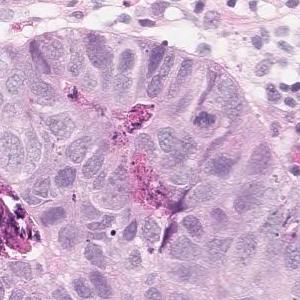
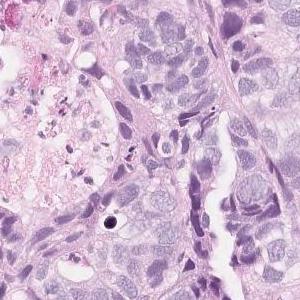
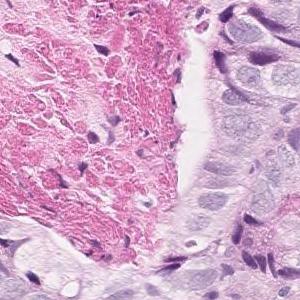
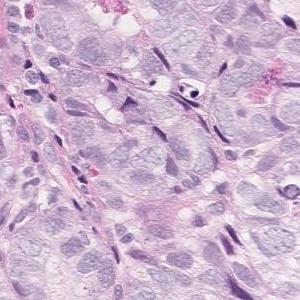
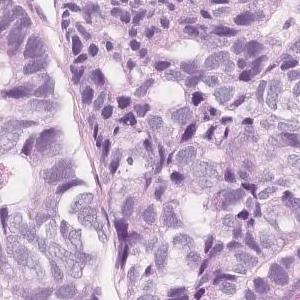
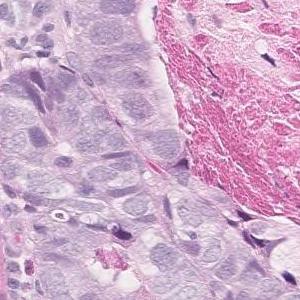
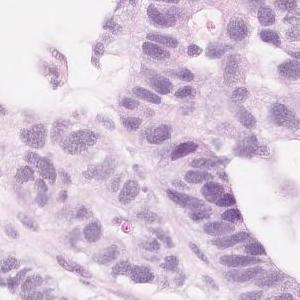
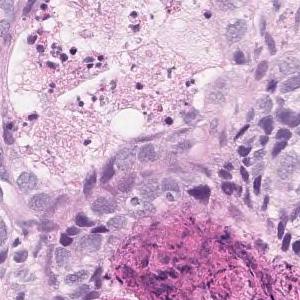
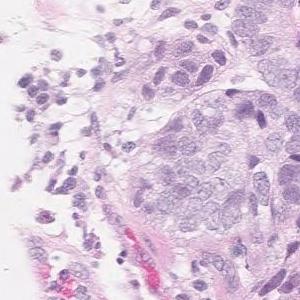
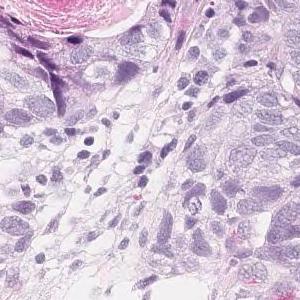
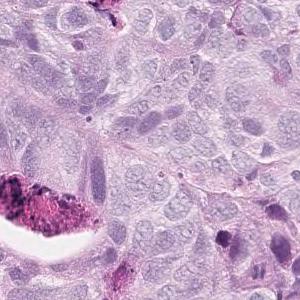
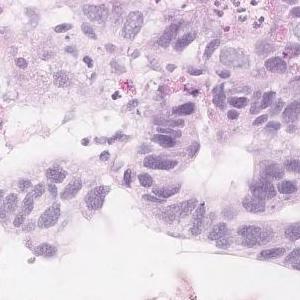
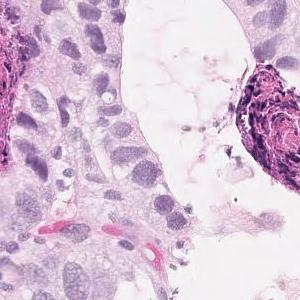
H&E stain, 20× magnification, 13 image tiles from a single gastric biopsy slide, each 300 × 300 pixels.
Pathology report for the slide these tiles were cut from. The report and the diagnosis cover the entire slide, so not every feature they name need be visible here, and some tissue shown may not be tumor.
In the superficial epithelium, tumor tissue that invades by forming medium-sized to small, irregular ducts is observed. Moderately differentiated adenocarcinoma.
Histologic type: Moderately differentiated tubular adenocarcinoma.
